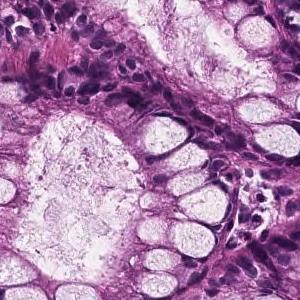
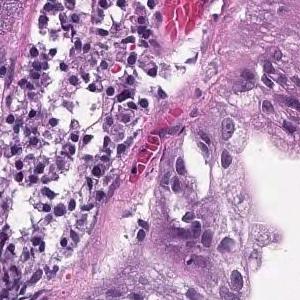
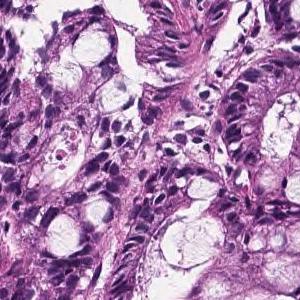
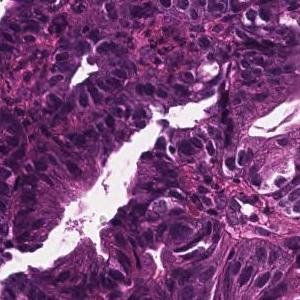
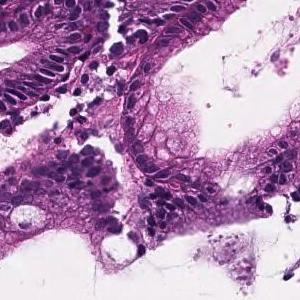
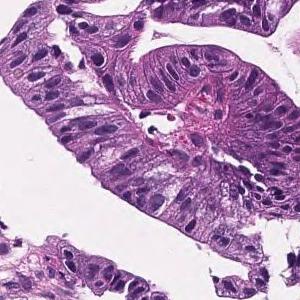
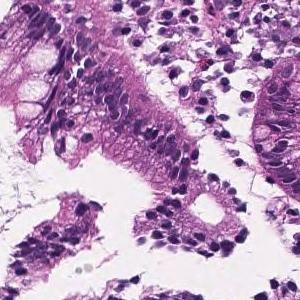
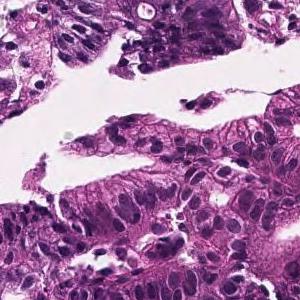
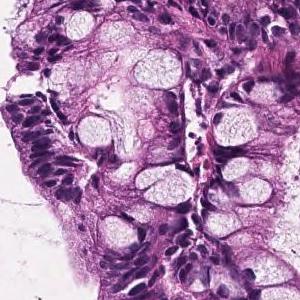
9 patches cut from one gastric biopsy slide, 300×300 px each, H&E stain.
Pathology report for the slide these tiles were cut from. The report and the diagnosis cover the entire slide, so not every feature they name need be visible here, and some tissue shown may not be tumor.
In the superficial epithelium, tumor tissue that invades by forming medium-sized to small, irregular ducts is observed. Well differentiated tubular adenocarcinoma.
